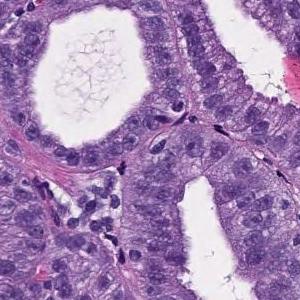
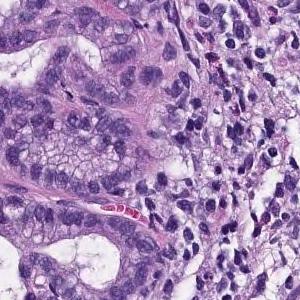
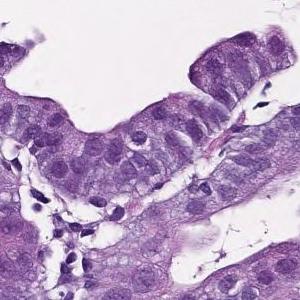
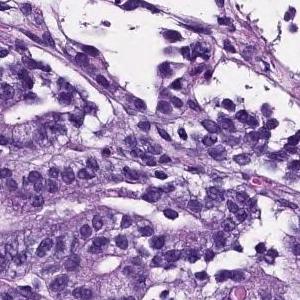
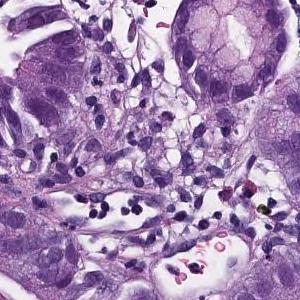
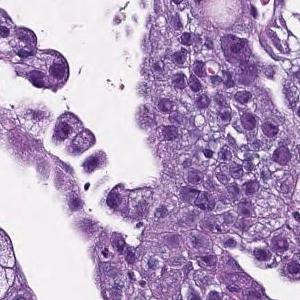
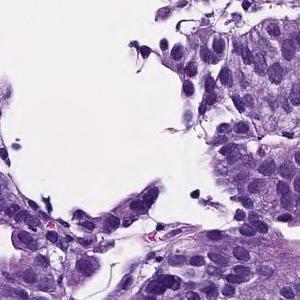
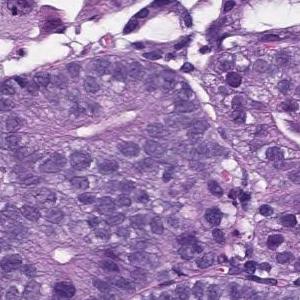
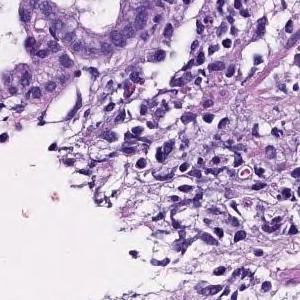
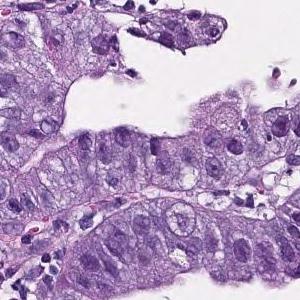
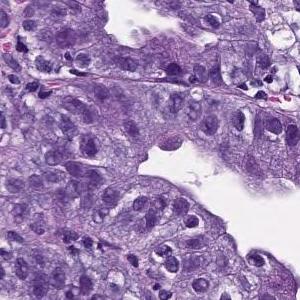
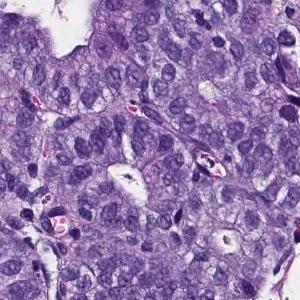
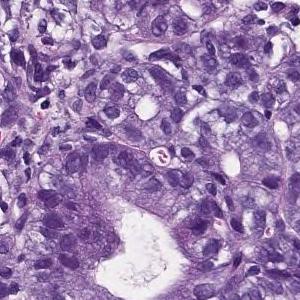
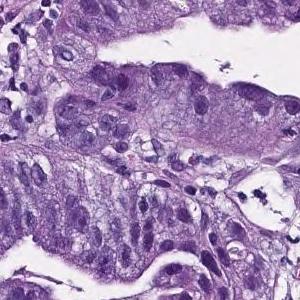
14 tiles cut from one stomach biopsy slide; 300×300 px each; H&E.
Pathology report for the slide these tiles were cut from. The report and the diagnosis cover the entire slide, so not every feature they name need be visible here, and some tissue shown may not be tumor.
On the superficial epithelium, tumor tissue that infiltrates by forming medium-sized papillary or small irregular ducts is observed. Papillary adenocarcinoma
